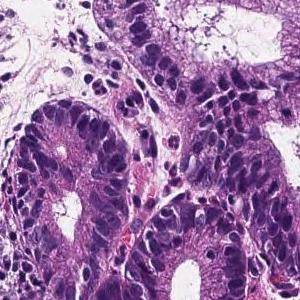
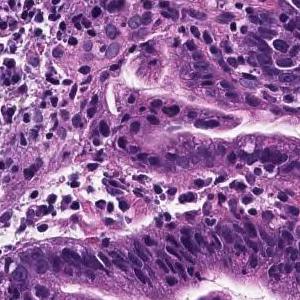
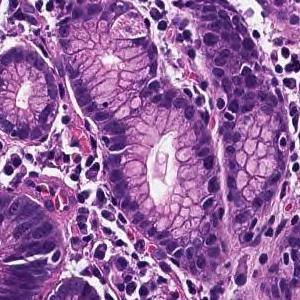
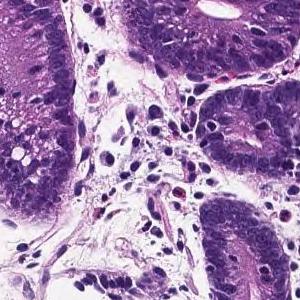
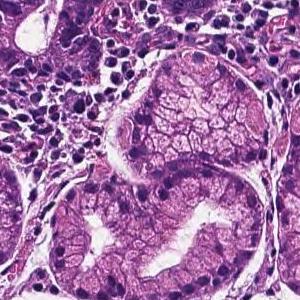
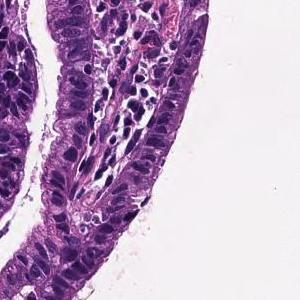
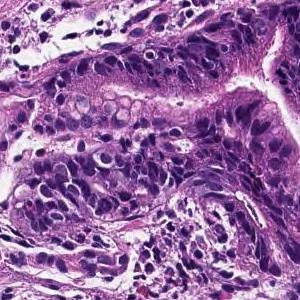
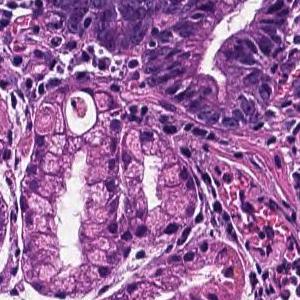
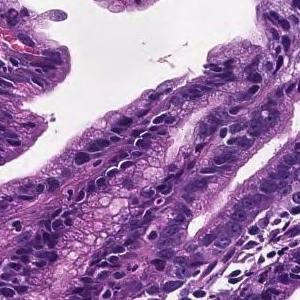
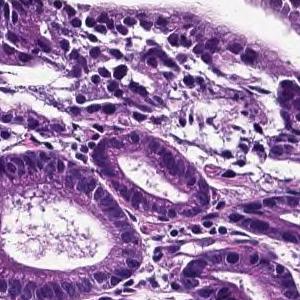
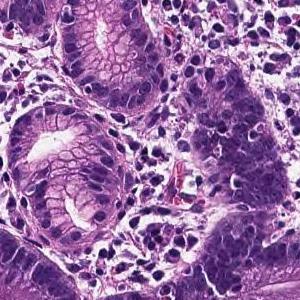
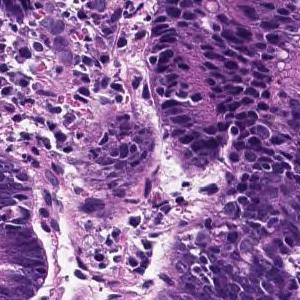
H&E stain, 12 patches cut from one gastric biopsy slide, 300×300 px each.
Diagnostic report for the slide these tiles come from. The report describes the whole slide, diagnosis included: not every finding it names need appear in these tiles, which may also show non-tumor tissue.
From the superficial epithelium to the muscularis mucosae, tumor tissue consisting of medium-sized and irregular glandular ducts infiltrating is observed. Well differentiated tubular adenocarcinoma
